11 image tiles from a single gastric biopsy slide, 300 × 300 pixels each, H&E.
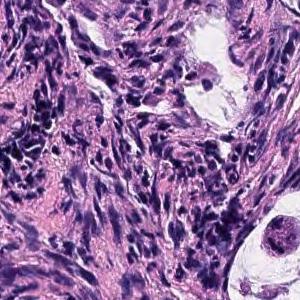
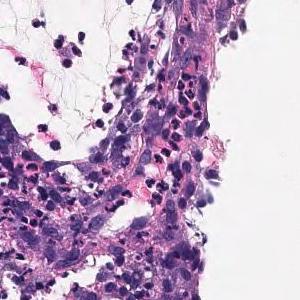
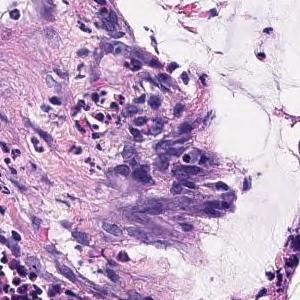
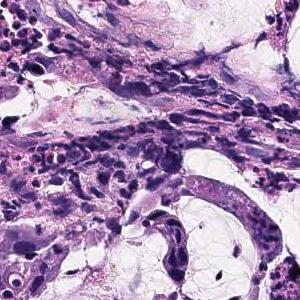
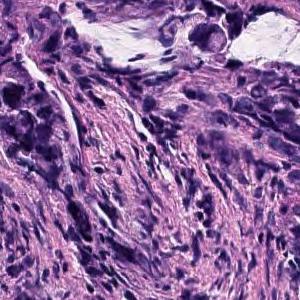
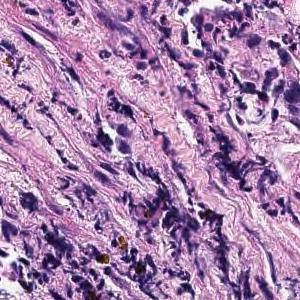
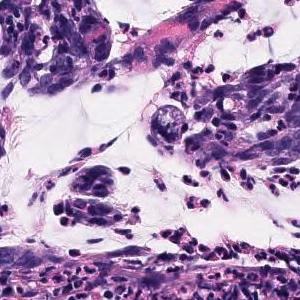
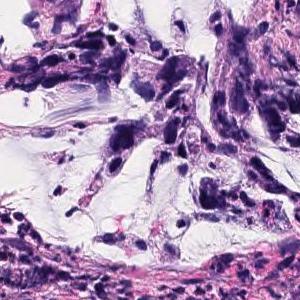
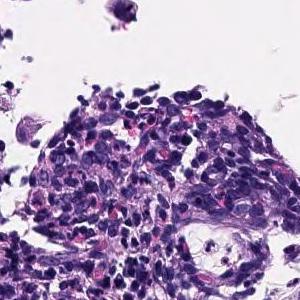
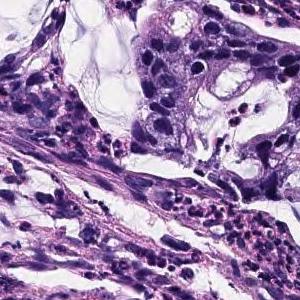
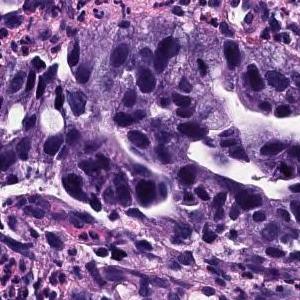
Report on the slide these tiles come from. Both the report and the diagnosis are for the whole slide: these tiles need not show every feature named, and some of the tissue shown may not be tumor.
The superficial epithelium shows small cord-like infiltrating tumor tissue. Some part of neoplastic cells are signet ring cell type which show single invasion manner. Poorly differentiated adenocarcinoma, non-solid type.
The term "non-solid type" comes from the Japanese Classification of Gastric Carcinoma.
